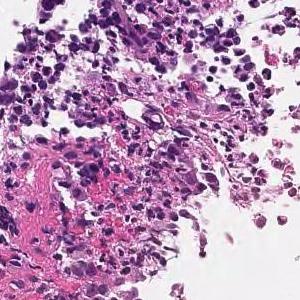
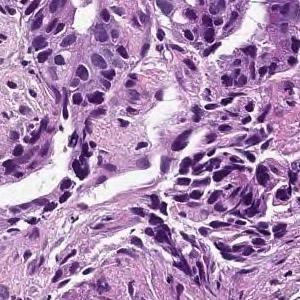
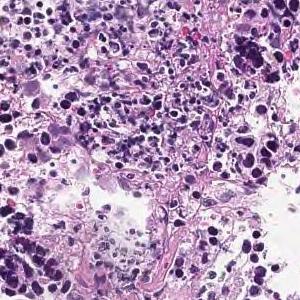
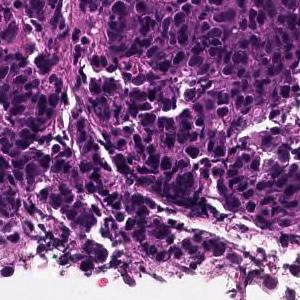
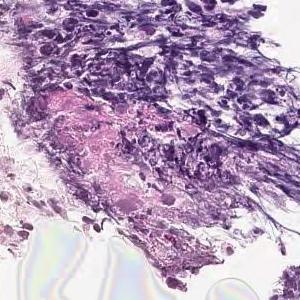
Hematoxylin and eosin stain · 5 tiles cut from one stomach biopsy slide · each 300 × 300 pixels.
Report on the slide these tiles come from. The report describes the whole slide, diagnosis included: not every finding it names need appear in these tiles, which may also show non-tumor tissue.
In the superficial epithelium, tumor tissue that invades by forming medium-sized to small, irregular ducts is observed. moderately differentiated tubular adenocarcinoma.
